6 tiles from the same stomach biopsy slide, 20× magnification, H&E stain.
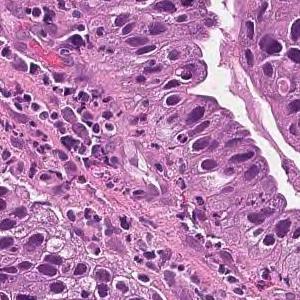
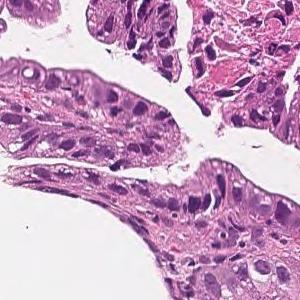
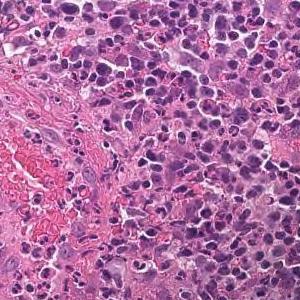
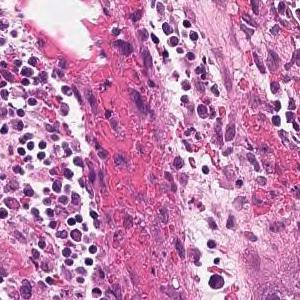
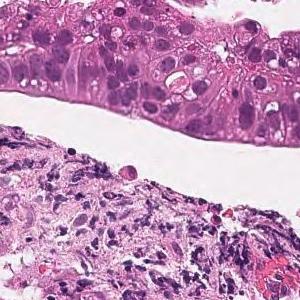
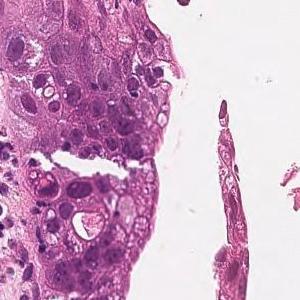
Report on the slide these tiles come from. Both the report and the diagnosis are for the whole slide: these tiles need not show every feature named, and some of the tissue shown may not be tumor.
In the superficial epithelium, tumor tissue that invades by forming medium-sized to small, irregular ducts is observed. moderately differentiated tubular adenocarcinoma.
